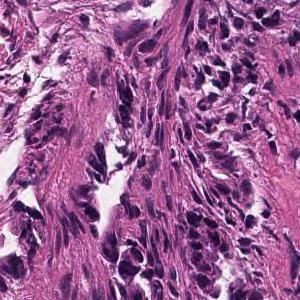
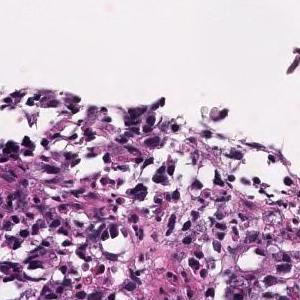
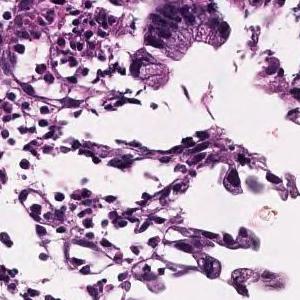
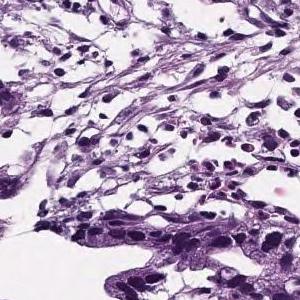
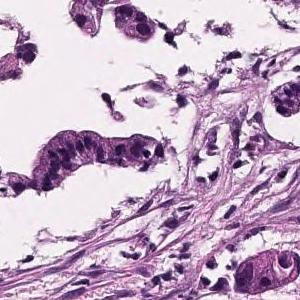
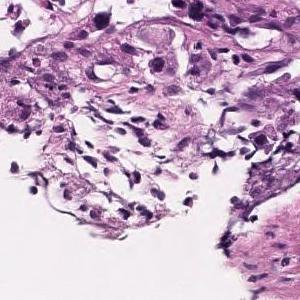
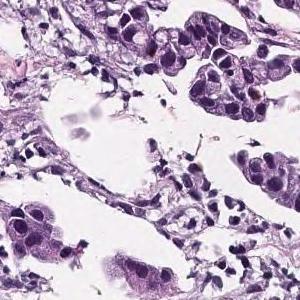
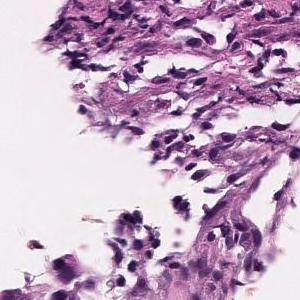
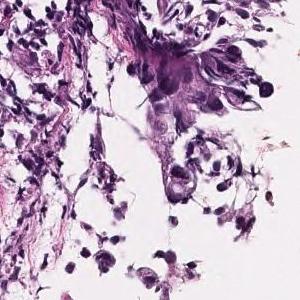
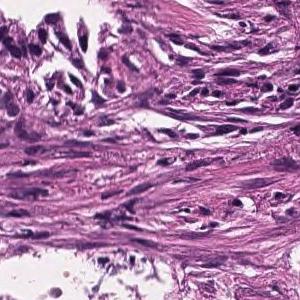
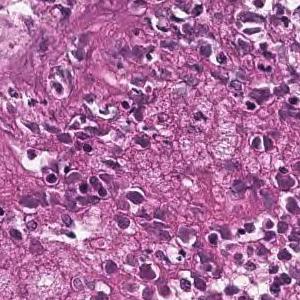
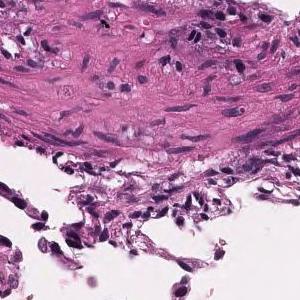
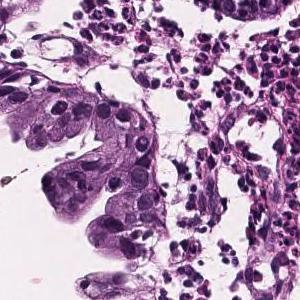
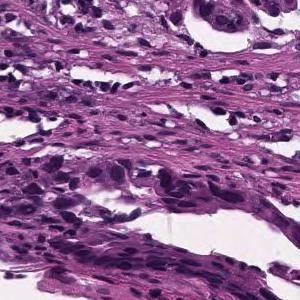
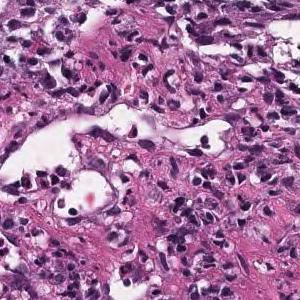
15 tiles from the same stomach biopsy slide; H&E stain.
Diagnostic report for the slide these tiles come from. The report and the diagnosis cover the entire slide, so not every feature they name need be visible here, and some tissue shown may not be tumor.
In the superficial epithelium, tumor tissue that invades by forming medium-sized to small, irregular ducts is observed. moderately differentiated tubular adenocarcinoma.
